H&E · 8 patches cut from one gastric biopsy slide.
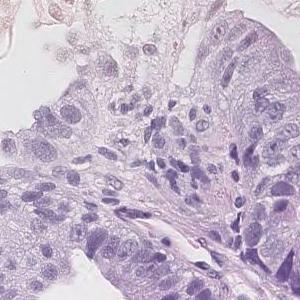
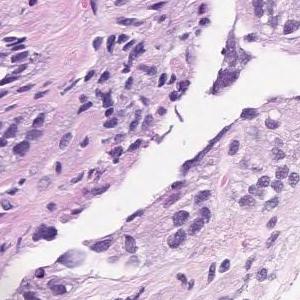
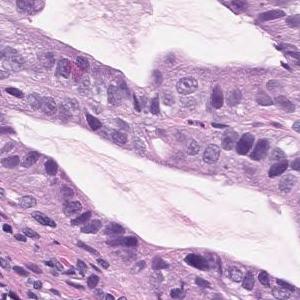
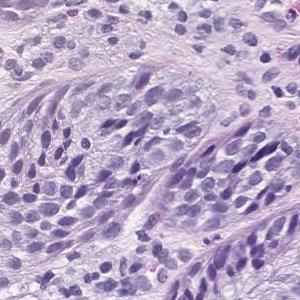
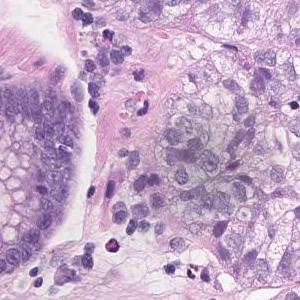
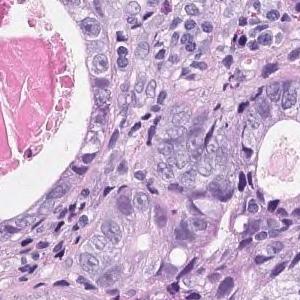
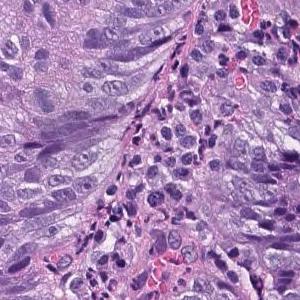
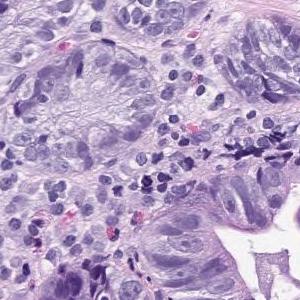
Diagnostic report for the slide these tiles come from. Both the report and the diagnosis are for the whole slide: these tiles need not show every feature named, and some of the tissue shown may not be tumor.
On the superficial epithelium, tumor tissue consisting of medium to small irregular tubules partially fused and proliferated is observed. moderately differentiated tubular adenocarcinoma
